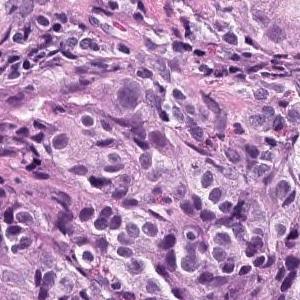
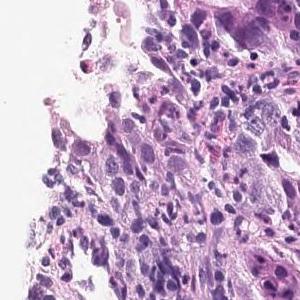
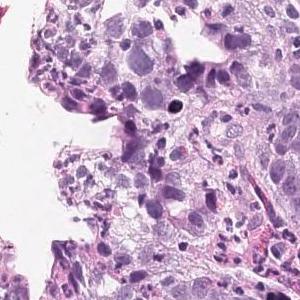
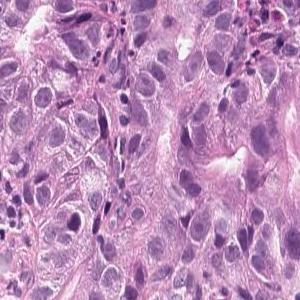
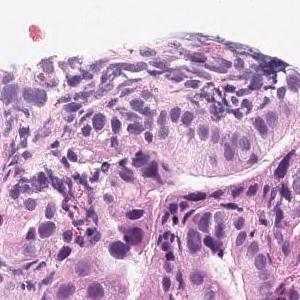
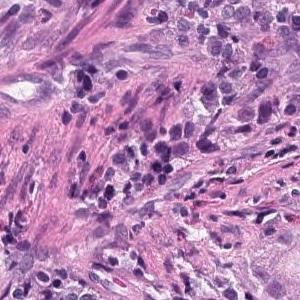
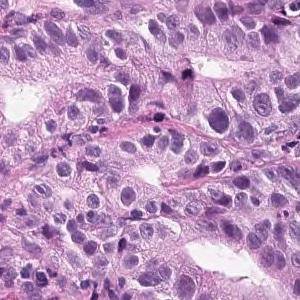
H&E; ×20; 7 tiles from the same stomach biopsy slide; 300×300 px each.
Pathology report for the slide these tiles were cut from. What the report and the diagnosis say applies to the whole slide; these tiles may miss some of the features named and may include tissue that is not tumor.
On the superficial epithelium, tumor tissue consisting of medium-sized to large-sized, irregular tubules partially fused and densely proliferating is observed. moderately differentiated tubular adenocarcinoma
